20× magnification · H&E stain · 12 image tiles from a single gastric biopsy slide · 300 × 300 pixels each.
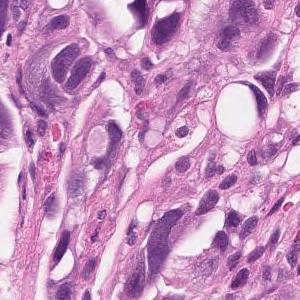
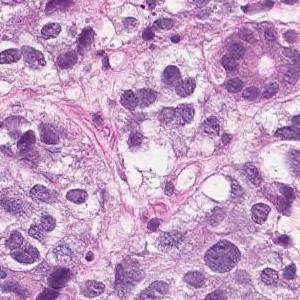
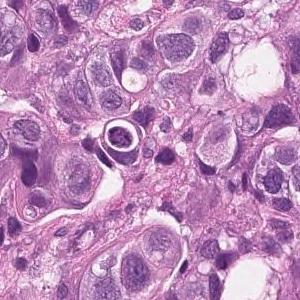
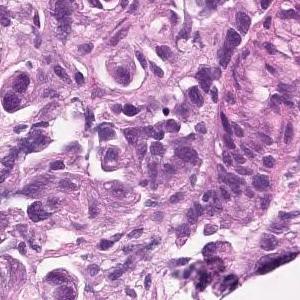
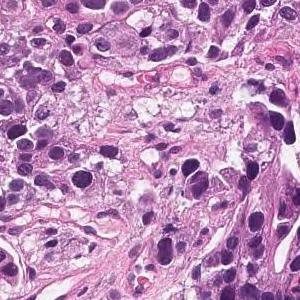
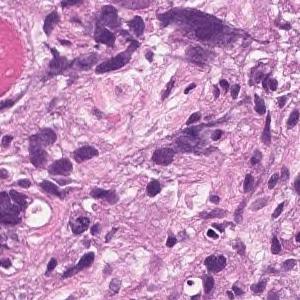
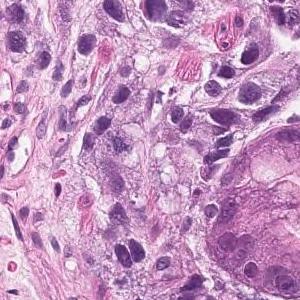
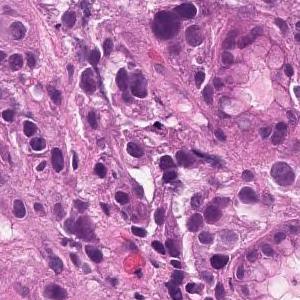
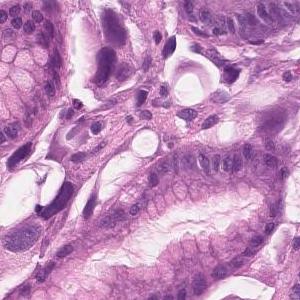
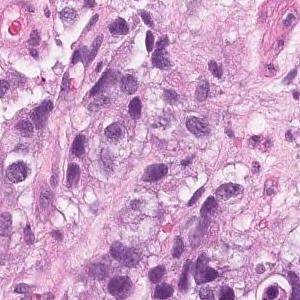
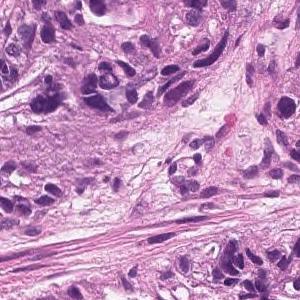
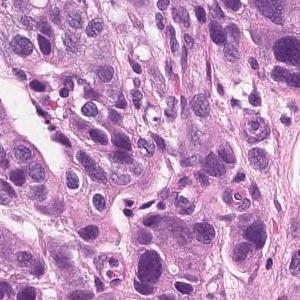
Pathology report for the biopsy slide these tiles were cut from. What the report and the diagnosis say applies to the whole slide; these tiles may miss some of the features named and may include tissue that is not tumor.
Tumor tissue that infiltrates the epithelium in an alveolar manner. Poorly differentiated adenocarcinoma, solid-type
Histological subtype: Poorly differentiated adenocarcinoma, solid type. This name comes from the Japanese Classification of Gastric Carcinoma; the WHO 2019 classification calls it tubular adenocarcinoma, poorly differentiated.
